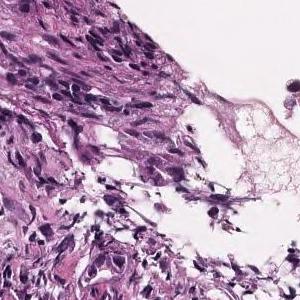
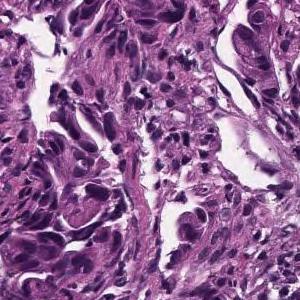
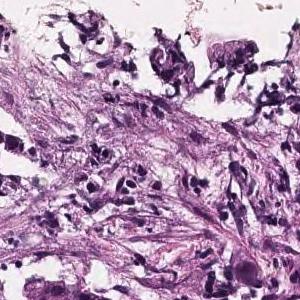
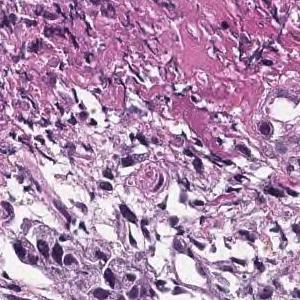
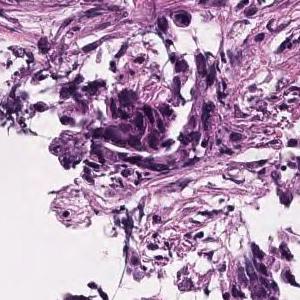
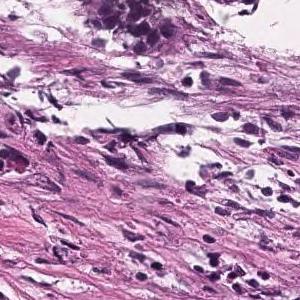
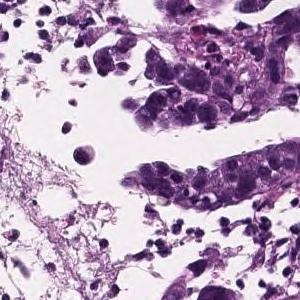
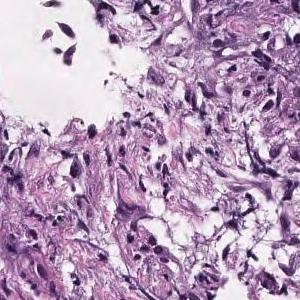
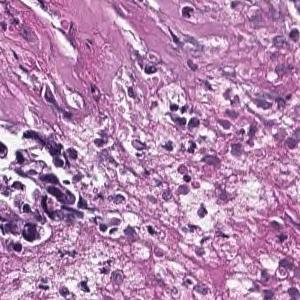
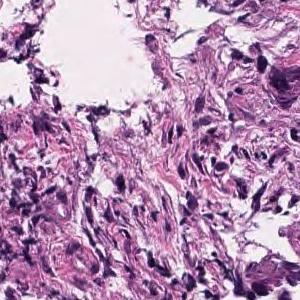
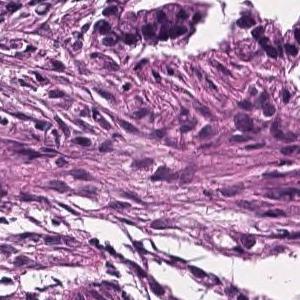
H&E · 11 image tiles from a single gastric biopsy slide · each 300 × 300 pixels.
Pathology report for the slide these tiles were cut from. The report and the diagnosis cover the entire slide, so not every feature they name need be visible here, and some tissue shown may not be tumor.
In the superficial epithelium, tumor tissue that invades by forming medium-sized to small, irregular ducts is observed. moderately differentiated tubular adenocarcinoma.
